Scanned at ×20; 10 tiles from the same stomach biopsy slide; 300 × 300 pixels each.
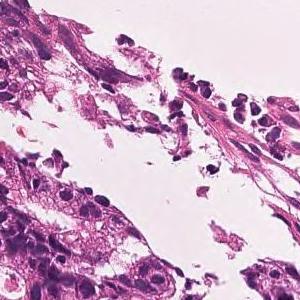
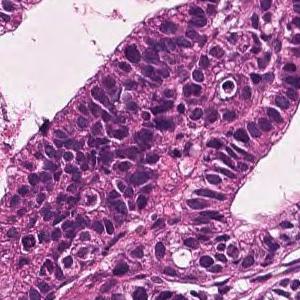
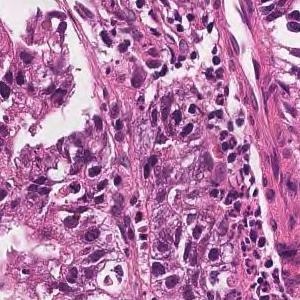
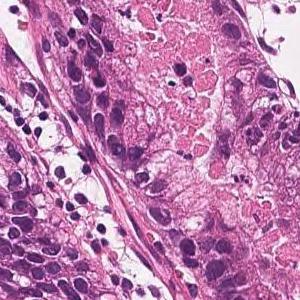
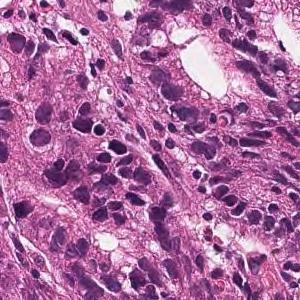
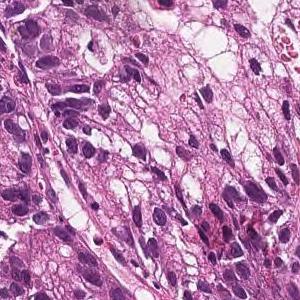
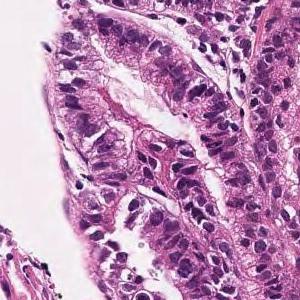
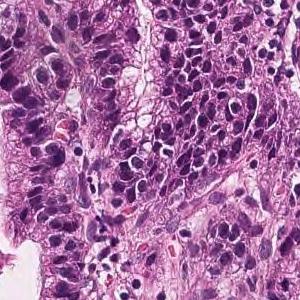
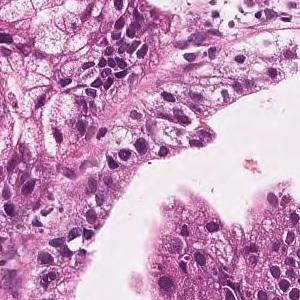
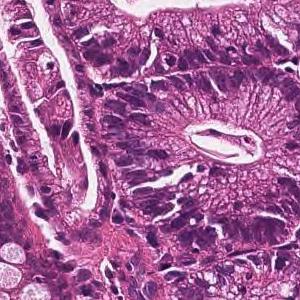
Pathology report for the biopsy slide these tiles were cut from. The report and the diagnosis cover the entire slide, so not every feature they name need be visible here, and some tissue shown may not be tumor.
On the superficial epithelium, tumor tissue consisting of large, irregular glandular ducts partially fused and infiltrated is observed. Well to moderately differentiated tubular adenocarcinoma (well differentiated tubular adenocarcinoma, moderately differentiated tubular adenocarcinoma)
Tumor subtype: well to moderately differentiated tubular adenocarcinoma.
